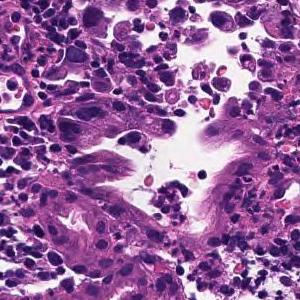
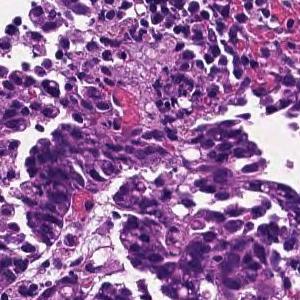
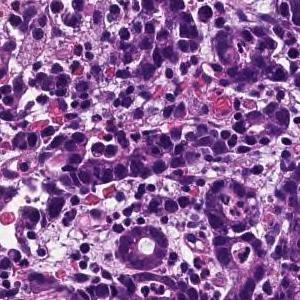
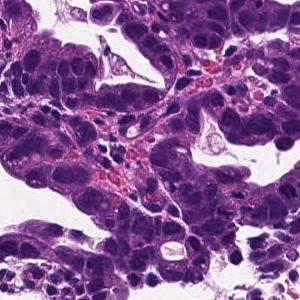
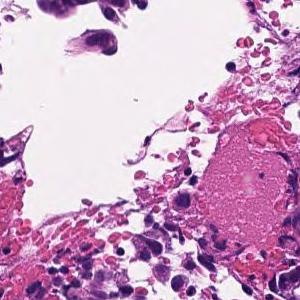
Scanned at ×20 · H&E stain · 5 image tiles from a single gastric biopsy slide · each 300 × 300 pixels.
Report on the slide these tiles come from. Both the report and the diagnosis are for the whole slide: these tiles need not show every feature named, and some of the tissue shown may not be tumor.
In the superficial epithelium, tumor tissue that invades by forming medium-sized to small, irregular ducts is observed. moderately differentiated tubular adenocarcinoma.
